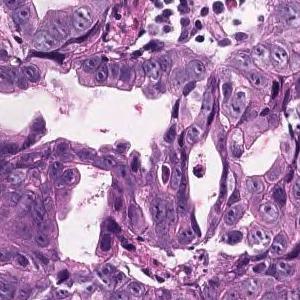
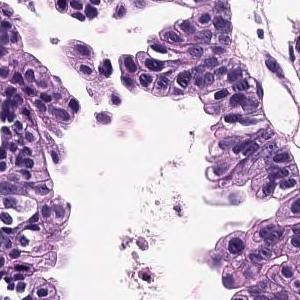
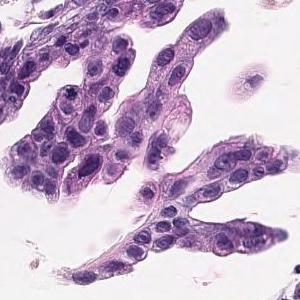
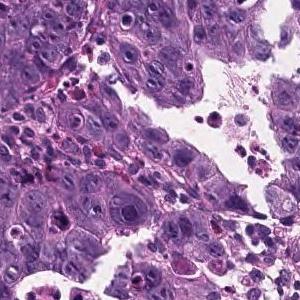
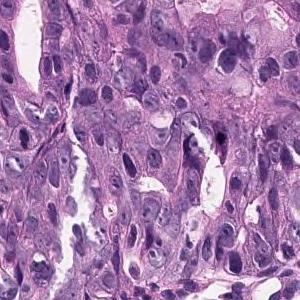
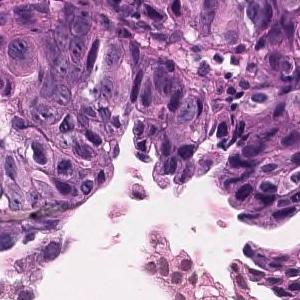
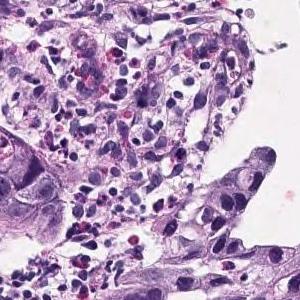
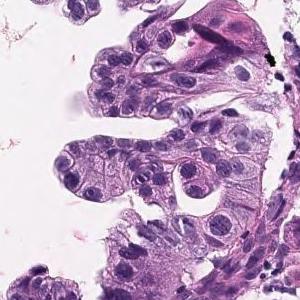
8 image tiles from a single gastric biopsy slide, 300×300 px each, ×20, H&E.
The pathologist's report on the biopsy slide these tiles were taken from. What the report and the diagnosis say applies to the whole slide; these tiles may miss some of the features named and may include tissue that is not tumor.
Tumor cells are large, highly columnar, large club-shaped nuclei, and are associated with chromatin aggregation. Papillary adenocarcinoma.
